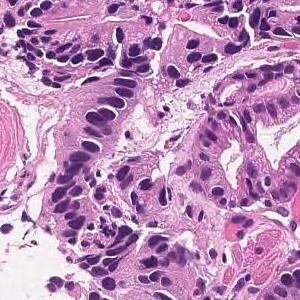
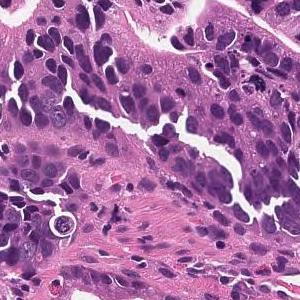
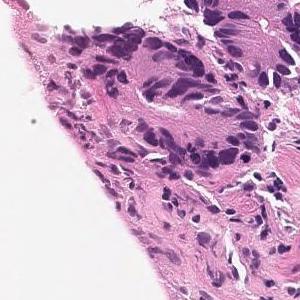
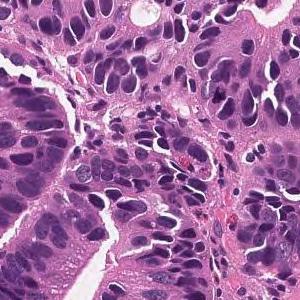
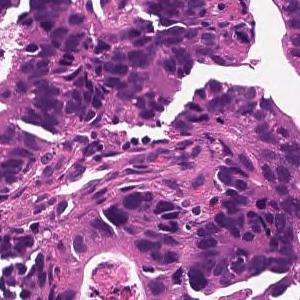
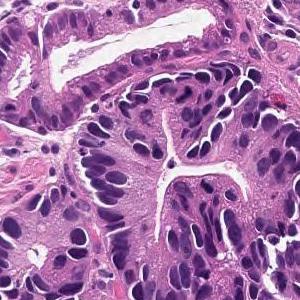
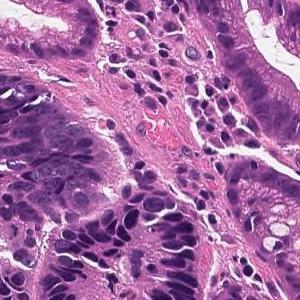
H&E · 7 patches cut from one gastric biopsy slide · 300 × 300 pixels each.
Pathology report for the slide these tiles were cut from. The report and the diagnosis cover the entire slide, so not every feature they name need be visible here, and some tissue shown may not be tumor.
Tumor cells are large, highly columnar, large club-shaped nuclei, and are associated with chromatin aggregation. Papillary adenocarcinoma.
